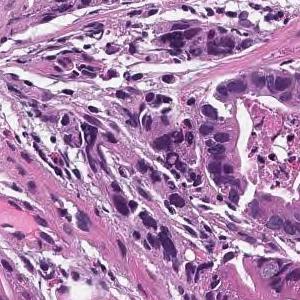
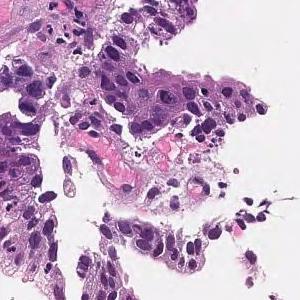
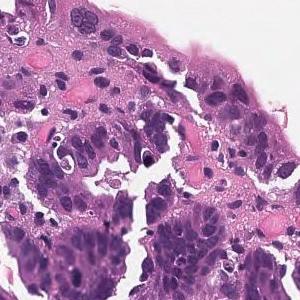
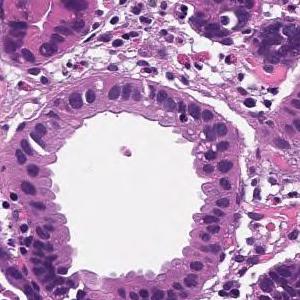
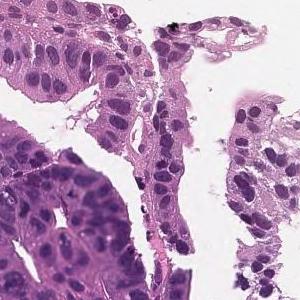
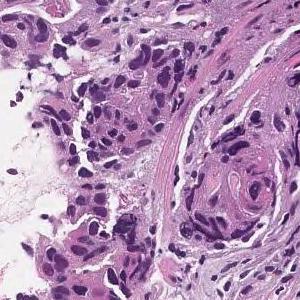
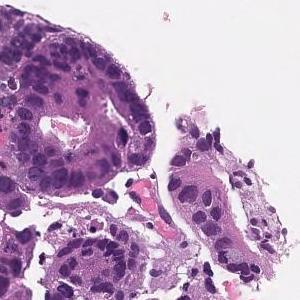
20× magnification; H&E; 7 image tiles from a single gastric biopsy slide.
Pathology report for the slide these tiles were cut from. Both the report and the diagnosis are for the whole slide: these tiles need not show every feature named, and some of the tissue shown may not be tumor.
In the superficial epithelium, tumor tissue that invades by forming medium-sized to small, irregular ducts is observed. moderately differentiated tubular adenocarcinoma.
